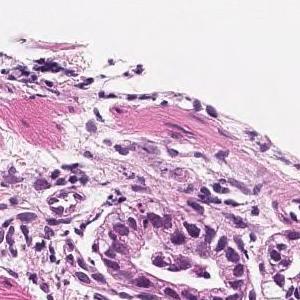
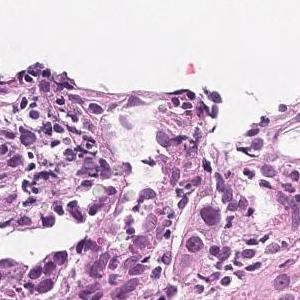
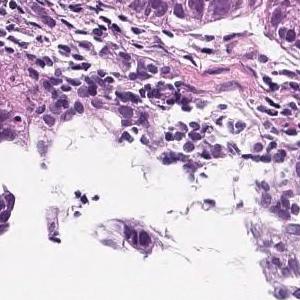
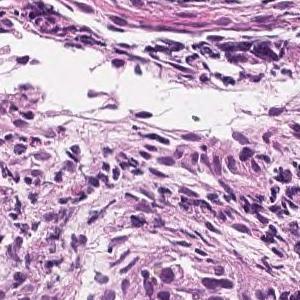
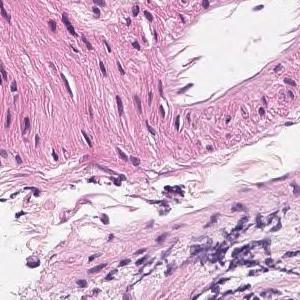
Hematoxylin and eosin stain; 20× magnification; 5 image tiles from a single gastric biopsy slide; 300 × 300 pixels each.
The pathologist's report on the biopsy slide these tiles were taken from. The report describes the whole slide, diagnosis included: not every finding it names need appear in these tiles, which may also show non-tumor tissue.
In the superficial epithelium, tumor tissue that invades by forming medium-sized to small, irregular ducts is observed. moderately differentiated tubular adenocarcinoma.
